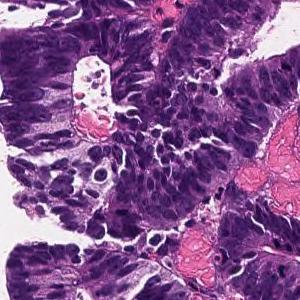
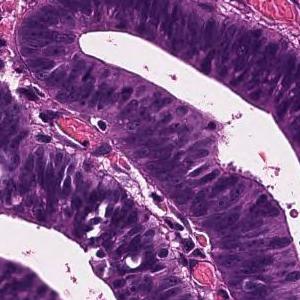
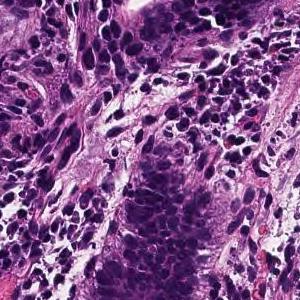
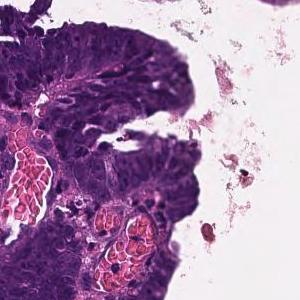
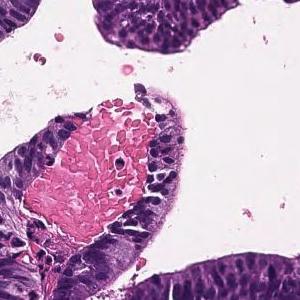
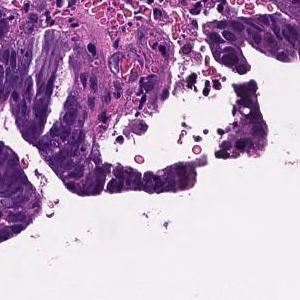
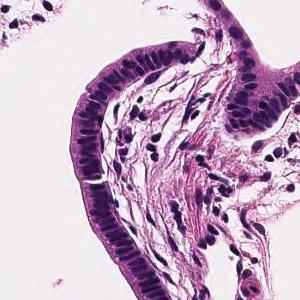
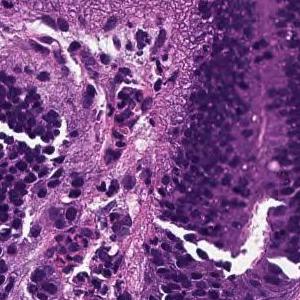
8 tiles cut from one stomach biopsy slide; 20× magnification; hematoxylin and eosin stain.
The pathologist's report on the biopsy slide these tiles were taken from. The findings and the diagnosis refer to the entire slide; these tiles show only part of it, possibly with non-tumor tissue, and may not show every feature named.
Tumor tissue consisting of large papillary structures is found in the superficial epithelium. Papillary adenocarcinoma.
